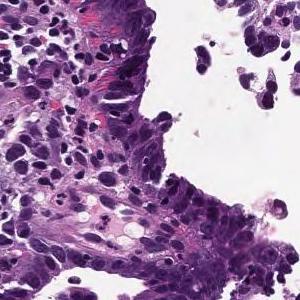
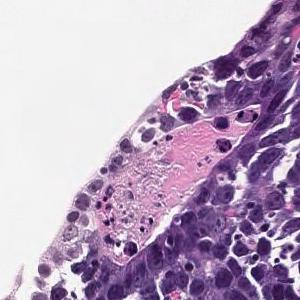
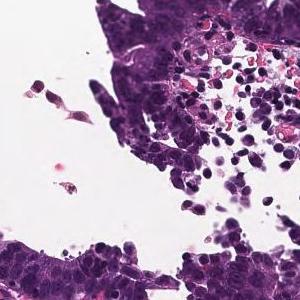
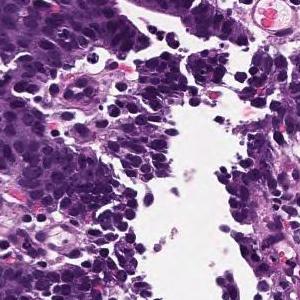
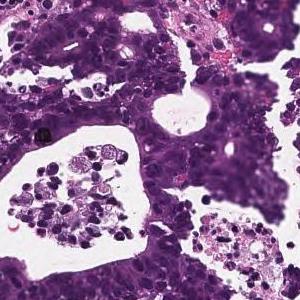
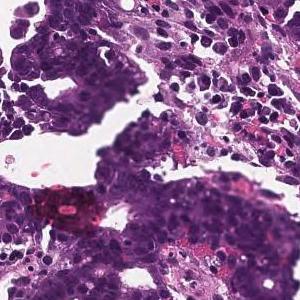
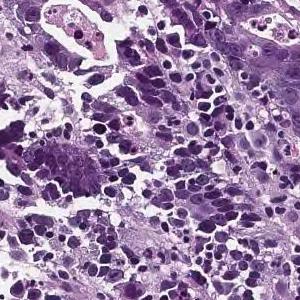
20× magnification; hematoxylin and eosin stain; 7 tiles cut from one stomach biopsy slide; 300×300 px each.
Diagnostic report for the slide these tiles come from. What the report and the diagnosis say applies to the whole slide; these tiles may miss some of the features named and may include tissue that is not tumor.
On the superficial epithelium, tumor tissue is found in which medium-sized irregular gland ducts fuse with each other and infiltrate. moderately differentiated tubular adenocarcinoma
